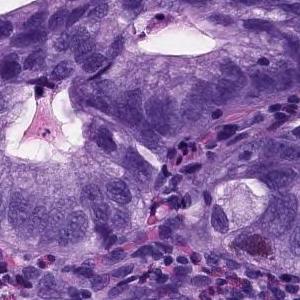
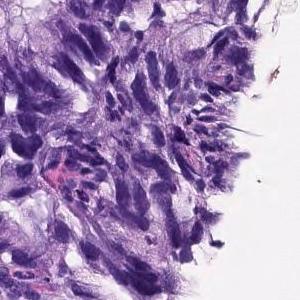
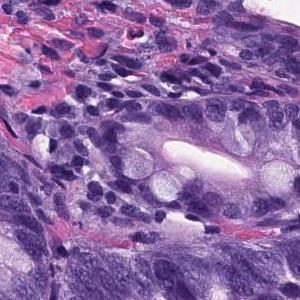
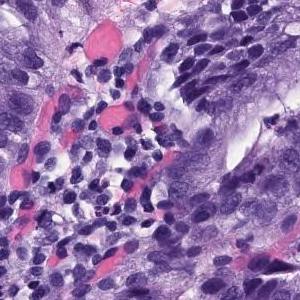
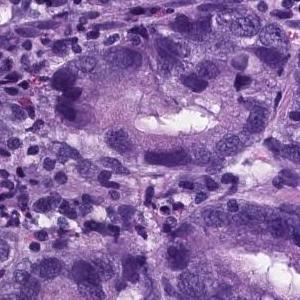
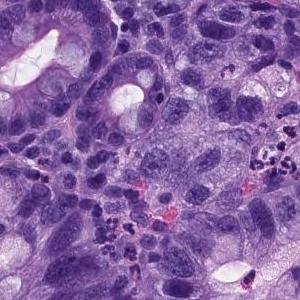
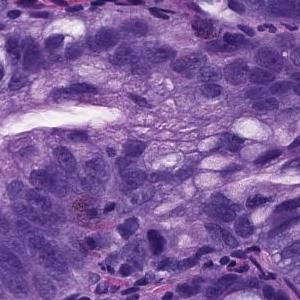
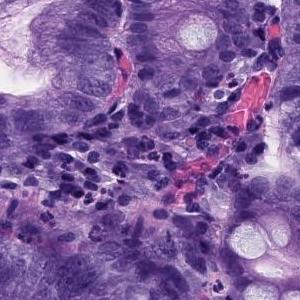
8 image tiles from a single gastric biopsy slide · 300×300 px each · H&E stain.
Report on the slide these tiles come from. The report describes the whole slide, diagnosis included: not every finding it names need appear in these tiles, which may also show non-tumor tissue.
There are large atypical epithelial cells infiltrating and proliferating while forming atypical glandular cavities showing a fusion tendency. Moderately differentiated tubular adenocarcinoma.
